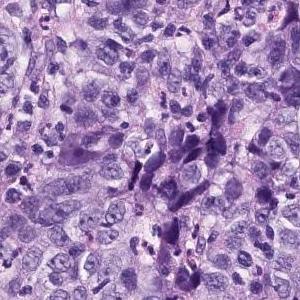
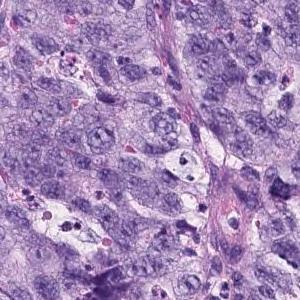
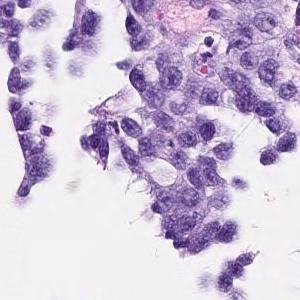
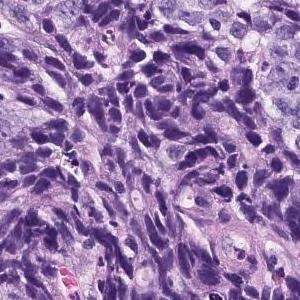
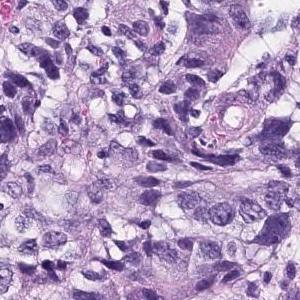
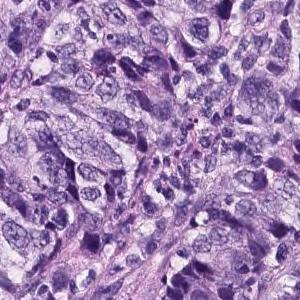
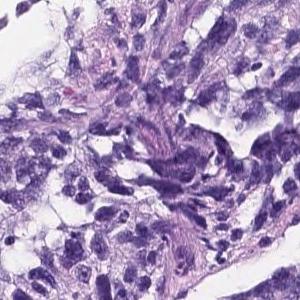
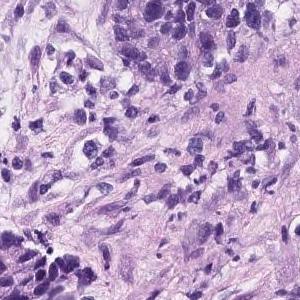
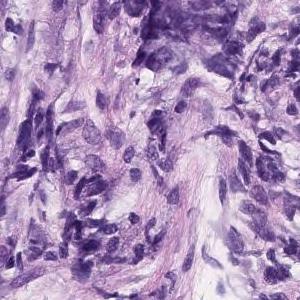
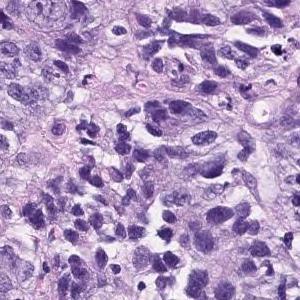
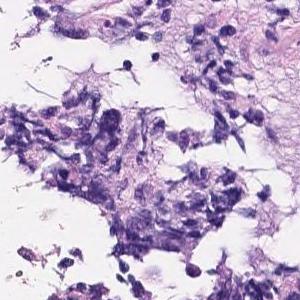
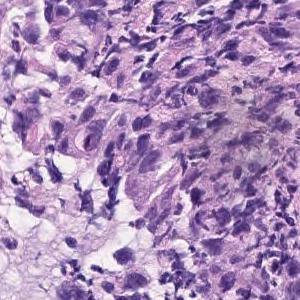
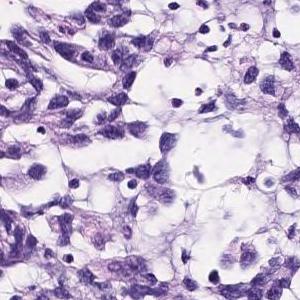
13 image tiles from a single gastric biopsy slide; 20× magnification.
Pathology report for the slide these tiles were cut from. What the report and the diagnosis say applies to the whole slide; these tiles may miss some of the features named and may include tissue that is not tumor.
The superficial epithelium shows a large sheet-like shape, and some tumor tissue infiltrates with small irregular ducts. Poorly differentiated adenocarcinoma, solid-type
Histological subtype: Poorly differentiated adenocarcinoma, solid type. This name comes from the Japanese Classification of Gastric Carcinoma; the WHO 2019 classification calls it tubular adenocarcinoma, poorly differentiated.
